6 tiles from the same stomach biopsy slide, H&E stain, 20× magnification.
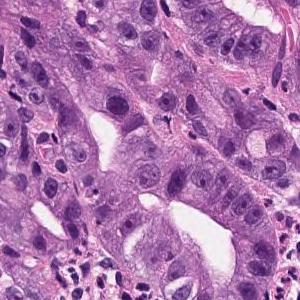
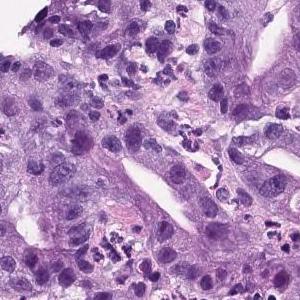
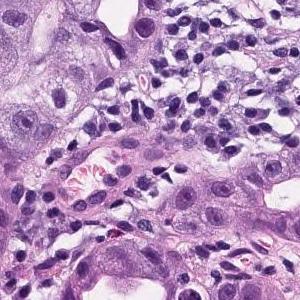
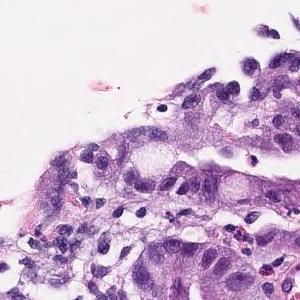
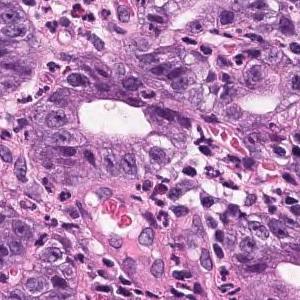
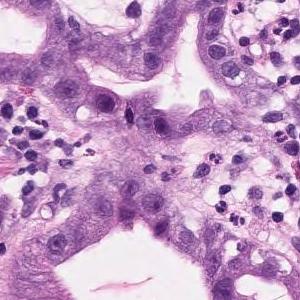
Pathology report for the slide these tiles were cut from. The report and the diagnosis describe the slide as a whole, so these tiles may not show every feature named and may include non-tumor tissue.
In the superficial epithelium, tumor tissue that invades by forming medium-sized to small, irregular ducts is observed. Well to moderately differentiated adenocarcinoma (well differentiated tubular adenocarcinoma, moderately differentiated tubular adenocarcinoma).
Histological subtype: Well to moderately differentiated tubular adenocarcinoma.
